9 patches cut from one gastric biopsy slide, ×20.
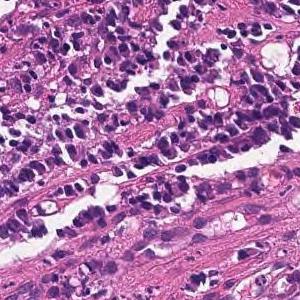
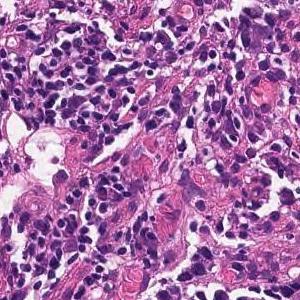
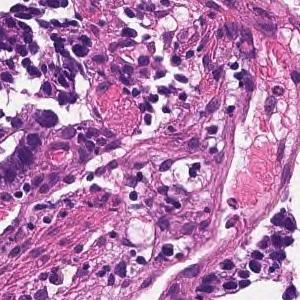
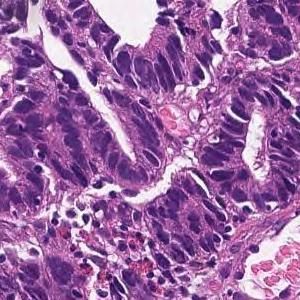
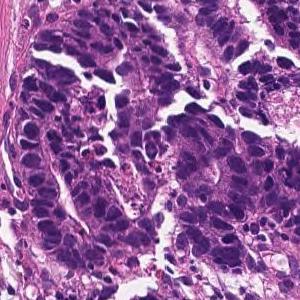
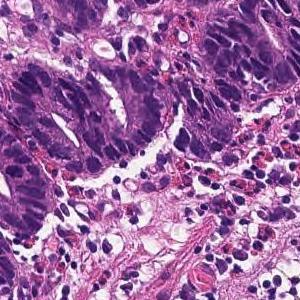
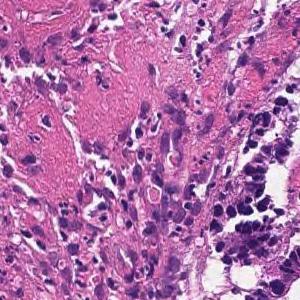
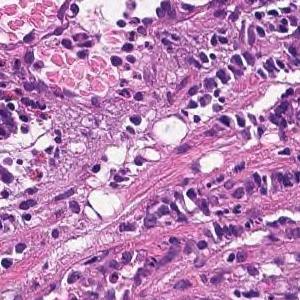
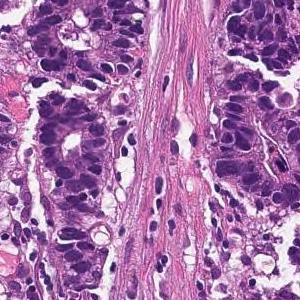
Pathology report for the slide these tiles were cut from. What the report and the diagnosis say applies to the whole slide; these tiles may miss some of the features named and may include tissue that is not tumor.
In the superficial epithelium, tumor tissue that invades by forming medium-sized to small, irregular ducts is observed. Moderately differentiated adenocarcinoma (moderately differentiated tubular adenocarcinoma).
Histologic type: Moderately differentiated tubular adenocarcinoma.
